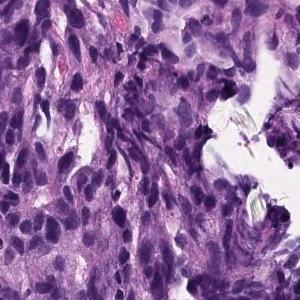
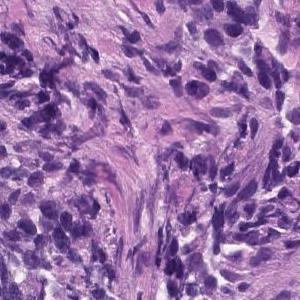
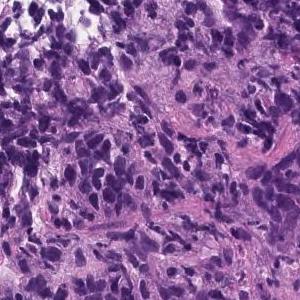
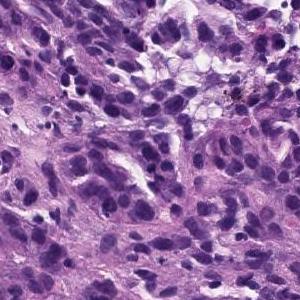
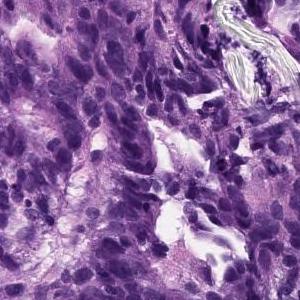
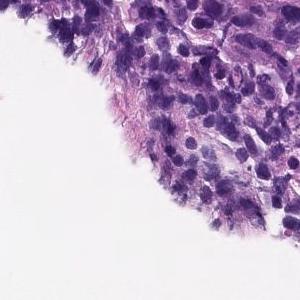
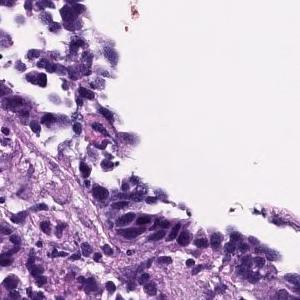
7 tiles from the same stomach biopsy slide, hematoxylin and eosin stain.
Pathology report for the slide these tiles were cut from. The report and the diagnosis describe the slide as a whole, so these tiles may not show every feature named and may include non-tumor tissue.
Group 5, Adenocarcinoma. Poorly differentiated adenocarcinoma, non-solid type
"Non-solid type" is a category of the Japanese Classification of Gastric Carcinoma.
